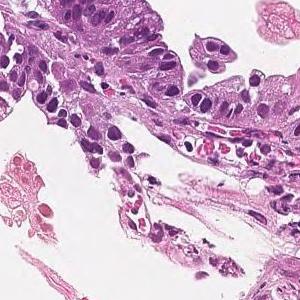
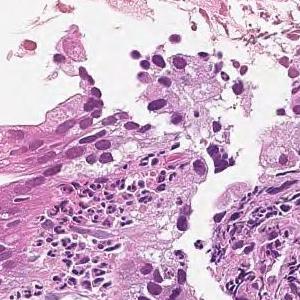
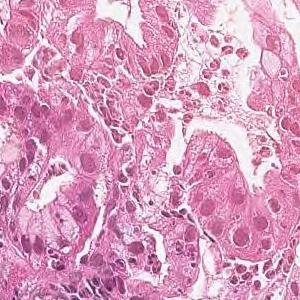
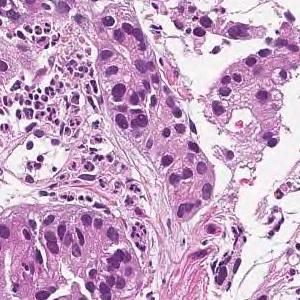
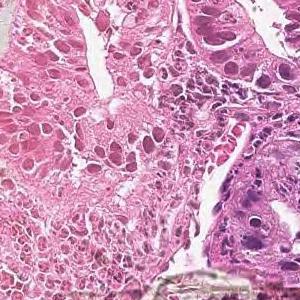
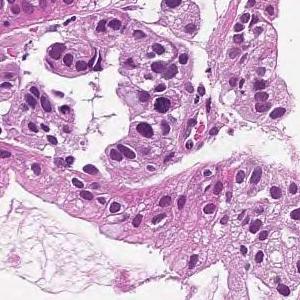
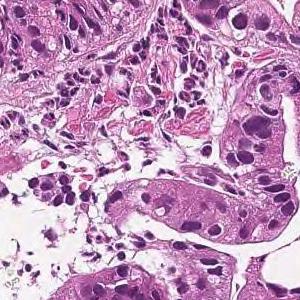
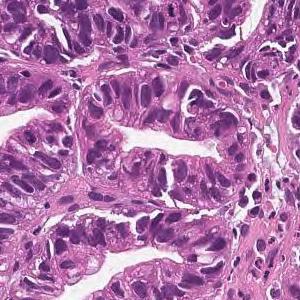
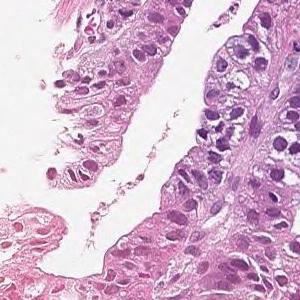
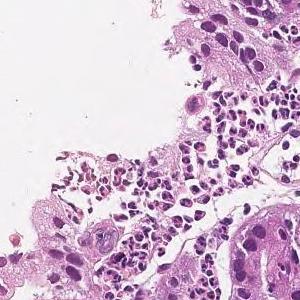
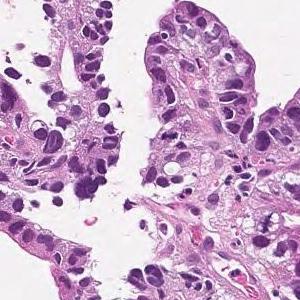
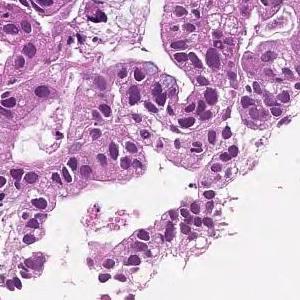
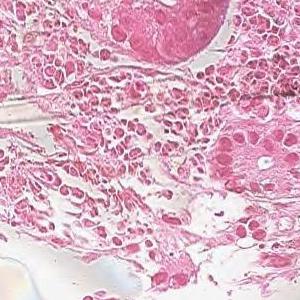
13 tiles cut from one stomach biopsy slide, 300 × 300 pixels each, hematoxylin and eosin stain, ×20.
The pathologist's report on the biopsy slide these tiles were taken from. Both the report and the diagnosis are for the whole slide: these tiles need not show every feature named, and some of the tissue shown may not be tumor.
On the superficial epithelium, tumor tissue that infiltrates by forming medium-sized papillary or small irregular ducts is observed. Papillary adenocarcinoma
